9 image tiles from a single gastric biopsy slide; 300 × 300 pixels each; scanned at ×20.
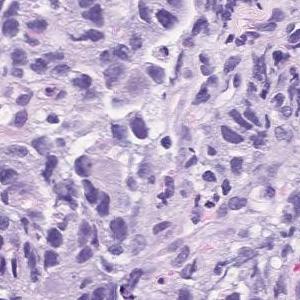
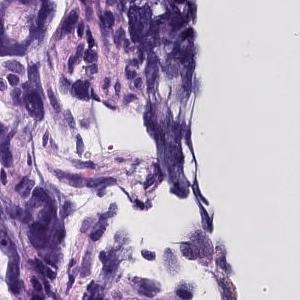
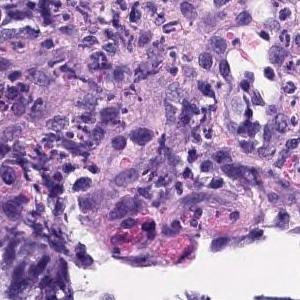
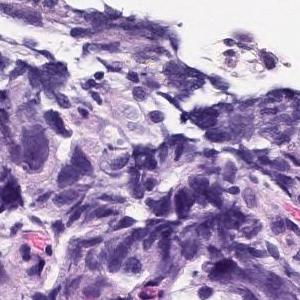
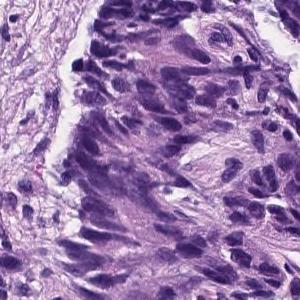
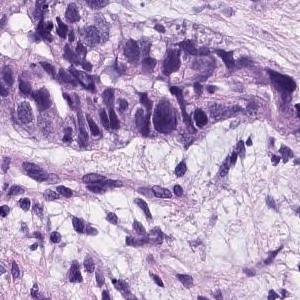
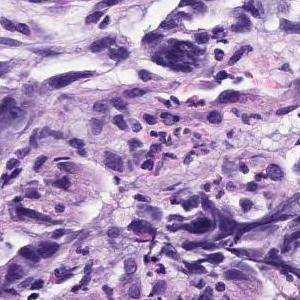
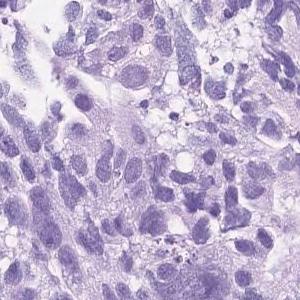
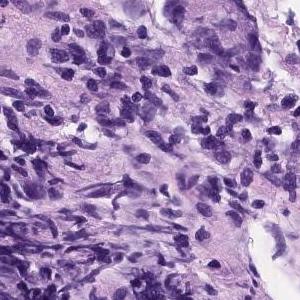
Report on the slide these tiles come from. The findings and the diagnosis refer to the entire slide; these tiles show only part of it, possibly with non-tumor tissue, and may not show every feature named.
Atypical epithelial cells with an increased N/C ratio proliferate and consist of a part that shows the formation of gland ducts and a part that shows solid growth. Poorly differentiated adenocarcinoma, solid-type
Classified as poorly differentiated adenocarcinoma, solid type, a category of the Japanese Classification of Gastric Carcinoma; in the WHO 2019 classification it is tubular adenocarcinoma, poorly differentiated.
